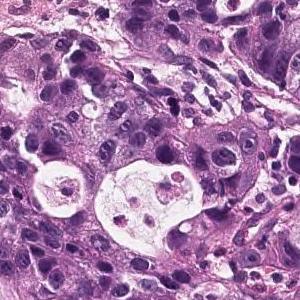
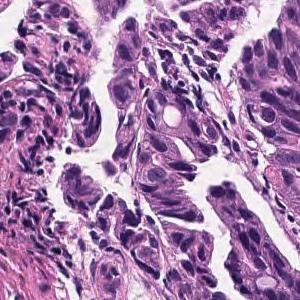
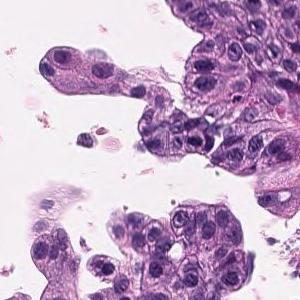
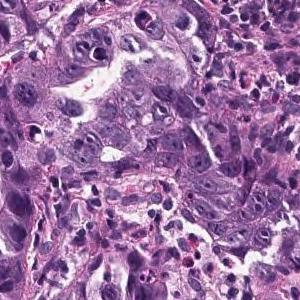
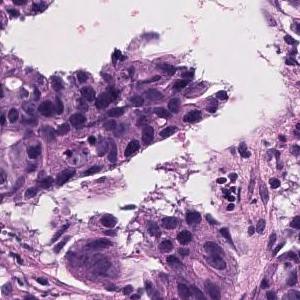
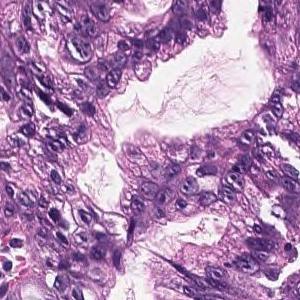
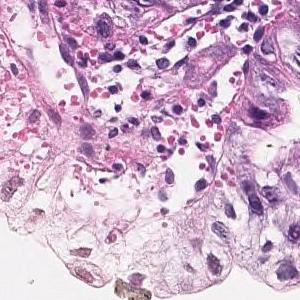
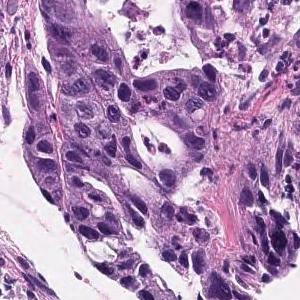
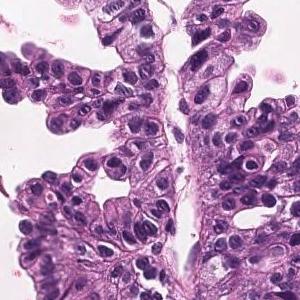
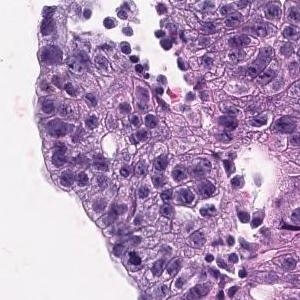
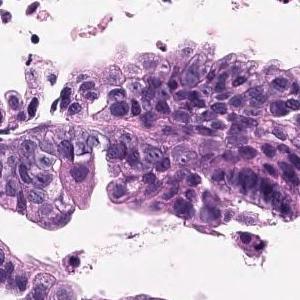
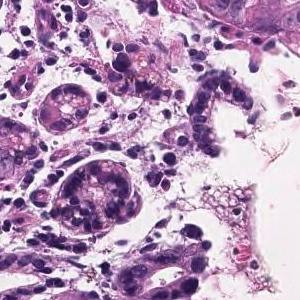
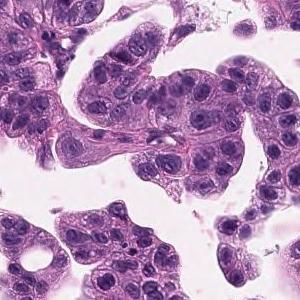
H&E stain · scanned at ×20 · 13 image tiles from a single gastric biopsy slide · 300 × 300 pixels each.
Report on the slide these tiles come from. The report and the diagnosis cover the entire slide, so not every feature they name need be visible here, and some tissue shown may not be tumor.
Tumor cells are large, highly columnar, large club-shaped nuclei, and are associated with chromatin aggregation. Papillary adenocarcinoma.
